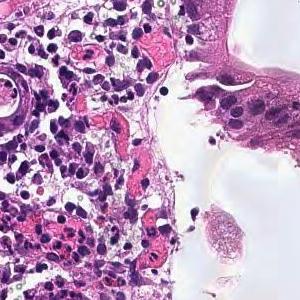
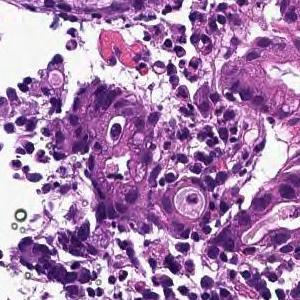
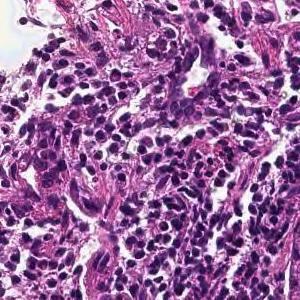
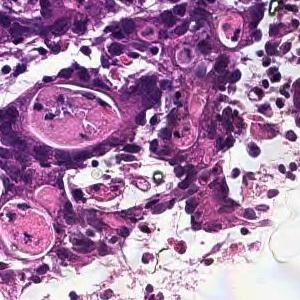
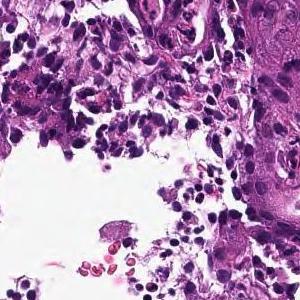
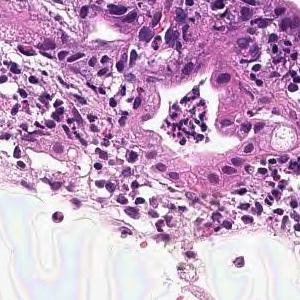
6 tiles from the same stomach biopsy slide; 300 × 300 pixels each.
Diagnostic report for the slide these tiles come from. Both the report and the diagnosis are for the whole slide: these tiles need not show every feature named, and some of the tissue shown may not be tumor.
In the superficial epithelium, tumor tissue that invades by forming medium-sized to small, irregular ducts is observed. moderately differentiated tubular adenocarcinoma.
